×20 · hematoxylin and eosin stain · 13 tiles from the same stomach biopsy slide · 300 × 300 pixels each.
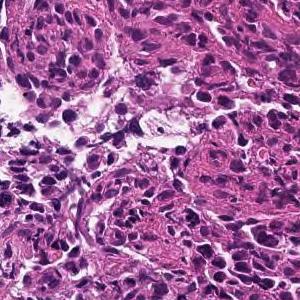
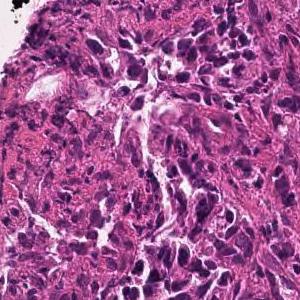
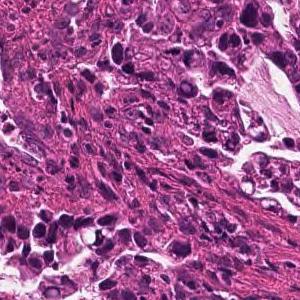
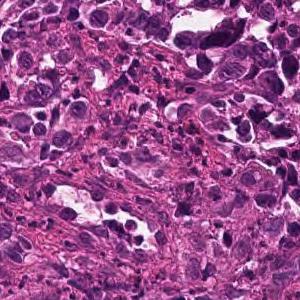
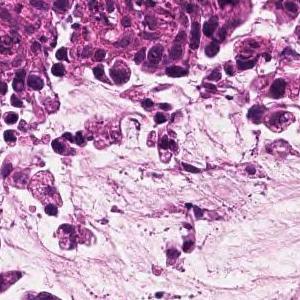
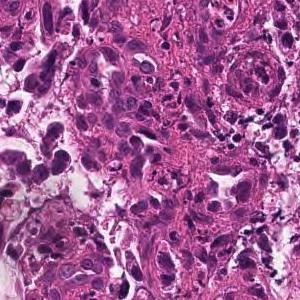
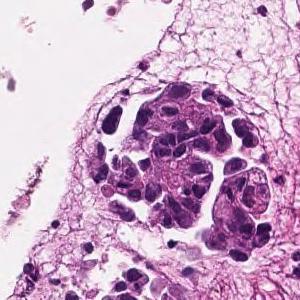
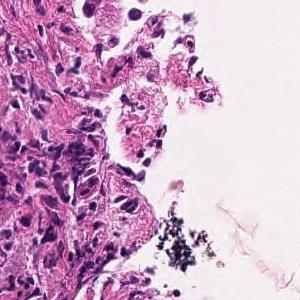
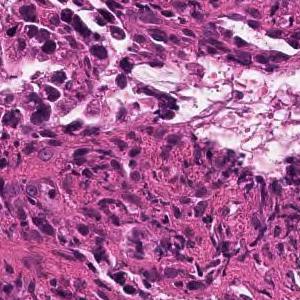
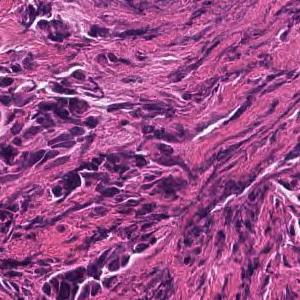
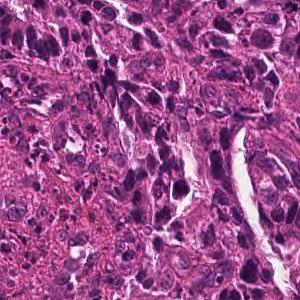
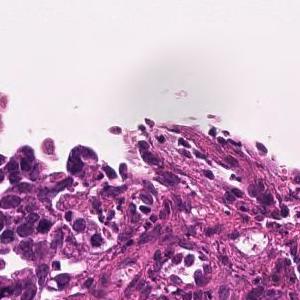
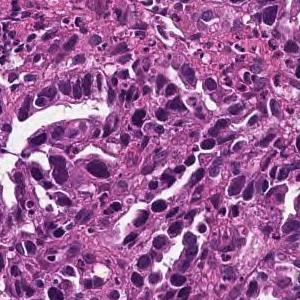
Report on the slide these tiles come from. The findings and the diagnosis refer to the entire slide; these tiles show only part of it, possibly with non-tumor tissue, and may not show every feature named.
In the superficial epithelium, tumor tissue that invades by forming medium-sized to small, irregular ducts is observed. moderately differentiated tubular adenocarcinoma.
